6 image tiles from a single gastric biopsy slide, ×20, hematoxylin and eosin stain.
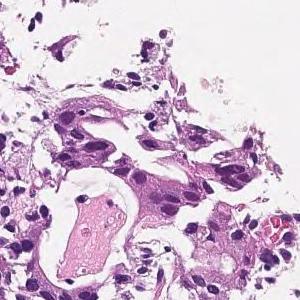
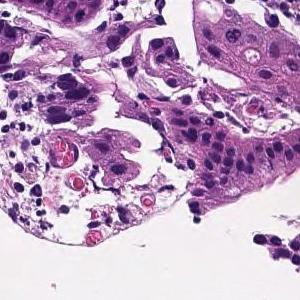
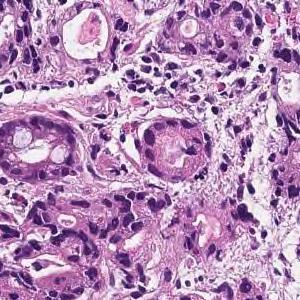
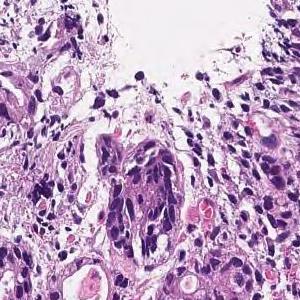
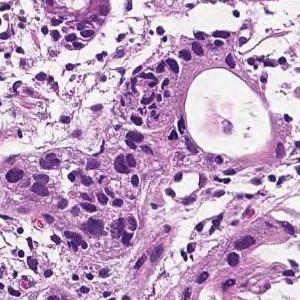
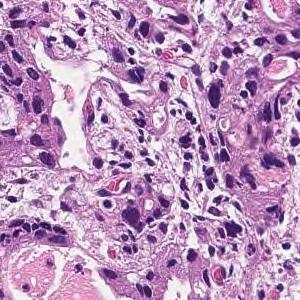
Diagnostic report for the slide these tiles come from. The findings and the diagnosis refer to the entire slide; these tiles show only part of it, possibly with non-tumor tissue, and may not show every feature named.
In the superficial epithelium, tumor tissue that invades by forming medium-sized to small, irregular ducts is observed. moderately differentiated tubular adenocarcinoma.
